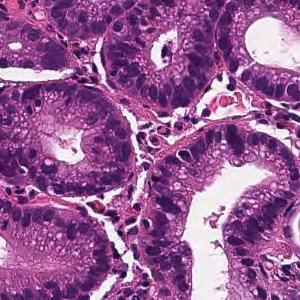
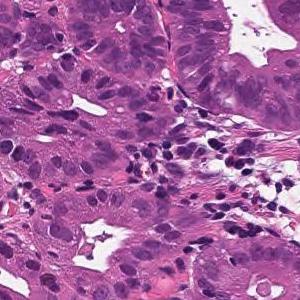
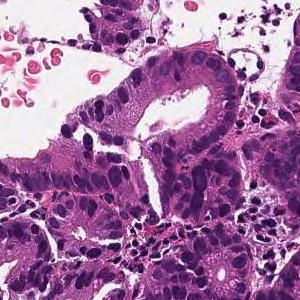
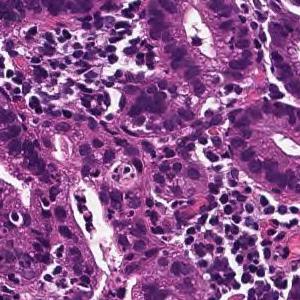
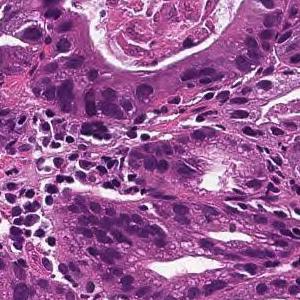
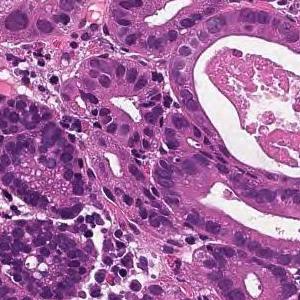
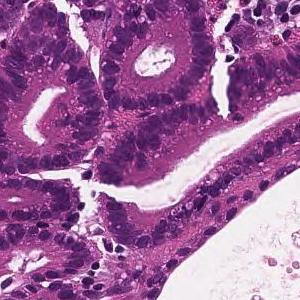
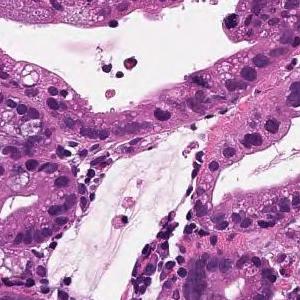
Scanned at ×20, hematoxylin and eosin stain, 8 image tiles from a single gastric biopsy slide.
Pathology report for the slide these tiles were cut from. The report and the diagnosis cover the entire slide, so not every feature they name need be visible here, and some tissue shown may not be tumor.
In the superficial epithelium, tumor tissue that invades by forming medium-sized to small, irregular ducts is observed. moderately differentiated tubular adenocarcinoma.
